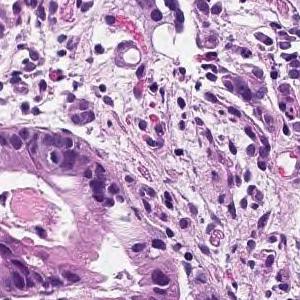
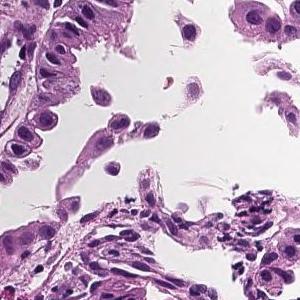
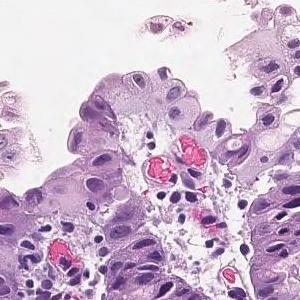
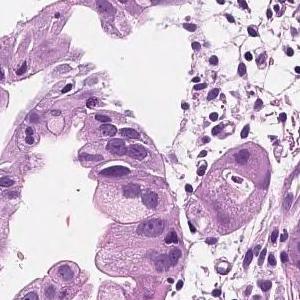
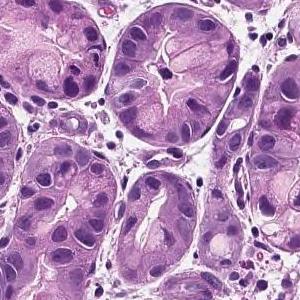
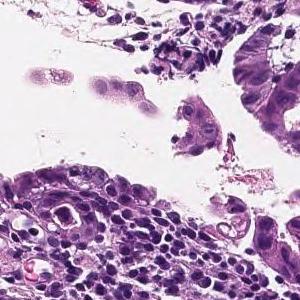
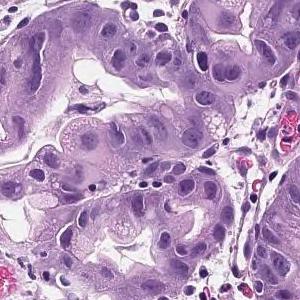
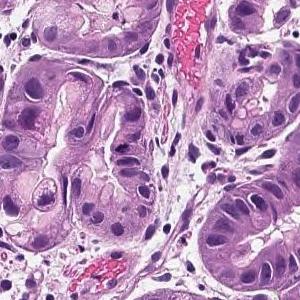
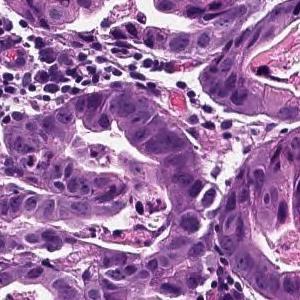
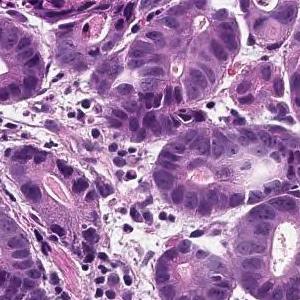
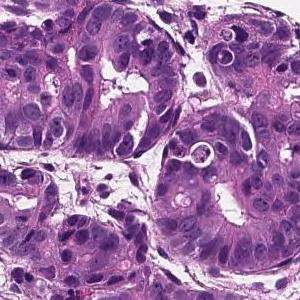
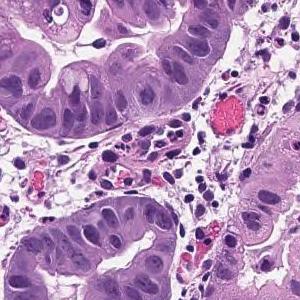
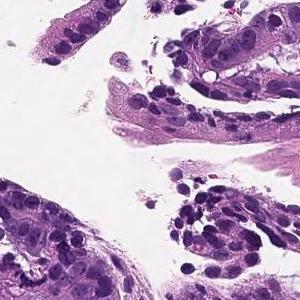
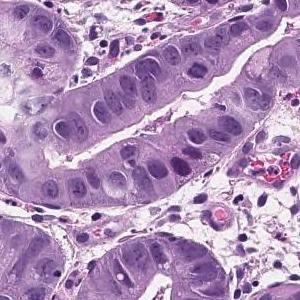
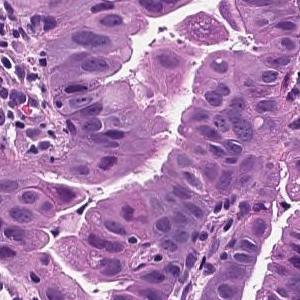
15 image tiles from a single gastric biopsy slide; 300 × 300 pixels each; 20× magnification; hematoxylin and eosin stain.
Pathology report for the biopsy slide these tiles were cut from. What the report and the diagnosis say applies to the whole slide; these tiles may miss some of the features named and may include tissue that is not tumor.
On the superficial epithelium, tumor tissue that infiltrates by forming medium-sized papillary or small irregular ducts is observed. Papillary adenocarcinoma
